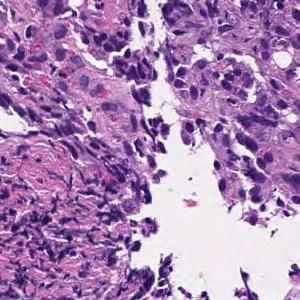
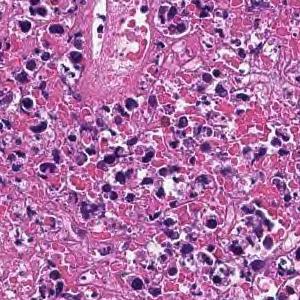
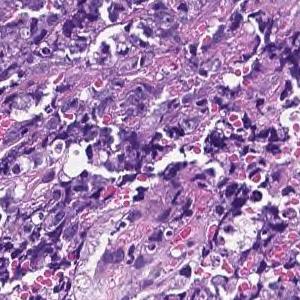
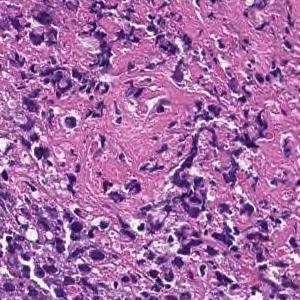
H&E, ×20, 4 patches cut from one gastric biopsy slide.
Report on the slide these tiles come from. Both the report and the diagnosis are for the whole slide: these tiles need not show every feature named, and some of the tissue shown may not be tumor.
Most are composed of coagulative necrotic tissue, but some show a large sheet-like shape, and some show tumor tissue infiltrating with a small cord-like structure. Poorly differentiated adenocarcinoma, solid-type
Histological subtype: Poorly differentiated adenocarcinoma, solid type, a category of the Japanese Classification of Gastric Carcinoma; in the WHO 2019 classification it is tubular adenocarcinoma, poorly differentiated.
